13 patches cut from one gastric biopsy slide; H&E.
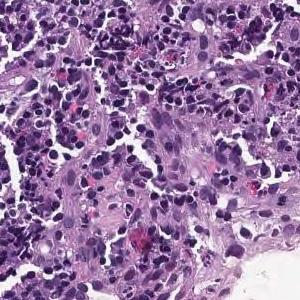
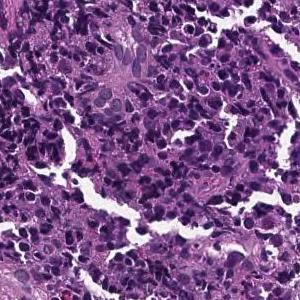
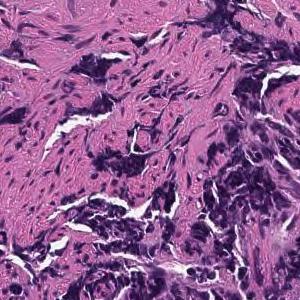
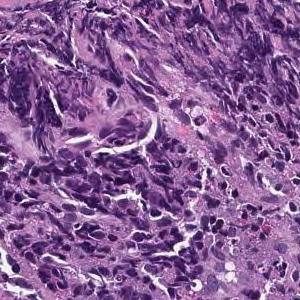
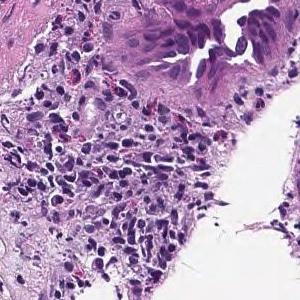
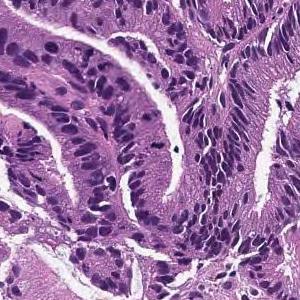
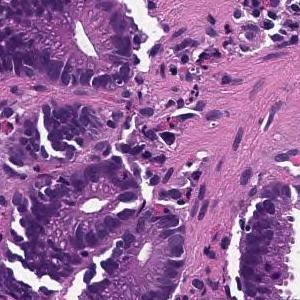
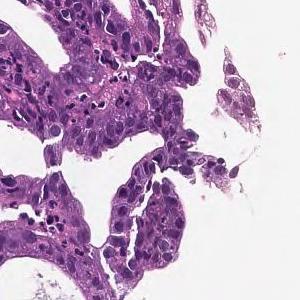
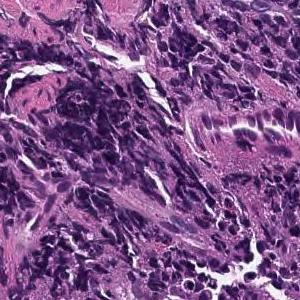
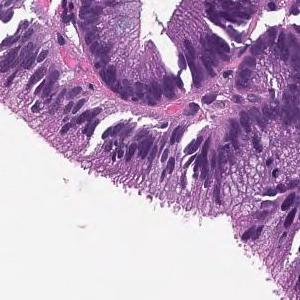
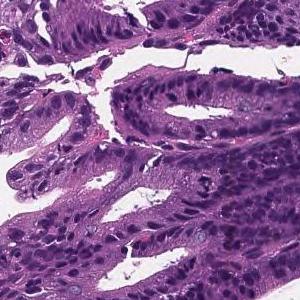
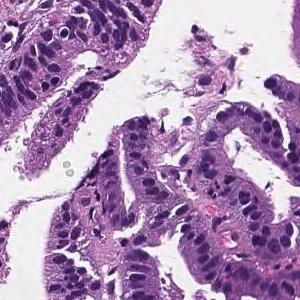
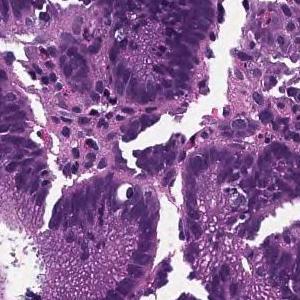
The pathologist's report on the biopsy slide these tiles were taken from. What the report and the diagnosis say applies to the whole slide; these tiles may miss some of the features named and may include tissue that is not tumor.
From the superficial epithelium to the muscularis mucosae, tumor tissue consisting of medium-sized and irregular glandular ducts infiltrating is observed. Well differentiated tubular adenocarcinoma
